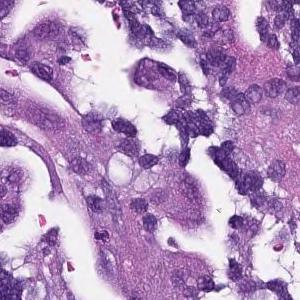
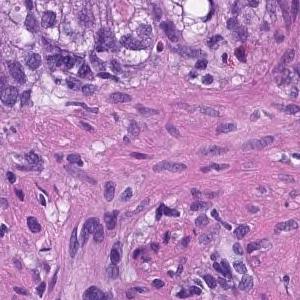
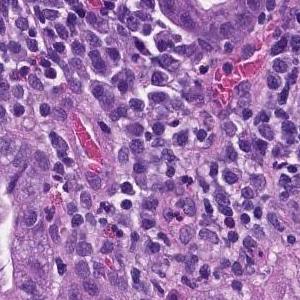
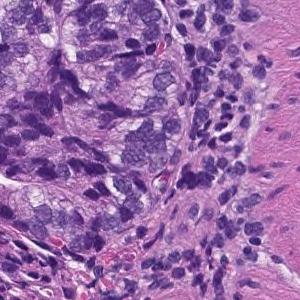
H&E · 20× magnification · 4 tiles from the same stomach biopsy slide · 300 × 300 pixels each.
Pathology report for the biopsy slide these tiles were cut from. Both the report and the diagnosis are for the whole slide: these tiles need not show every feature named, and some of the tissue shown may not be tumor.
From the superficial epithelium to the muscularis mucosae, tumor tissue consisting of medium-sized and irregular glandular ducts infiltrating is observed. Well differentiated tubular adenocarcinoma
